H&E stain · 8 image tiles from a single gastric biopsy slide · each 300 × 300 pixels.
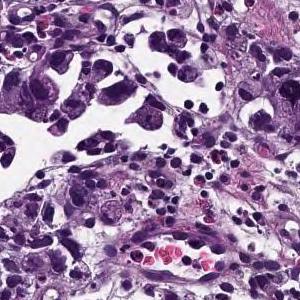
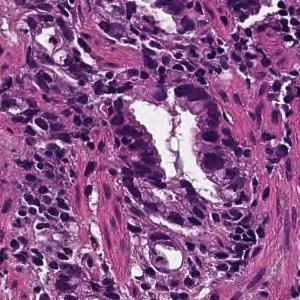
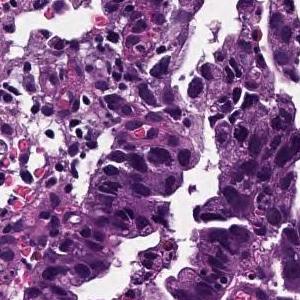
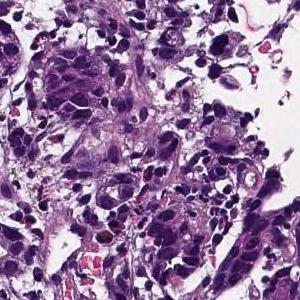
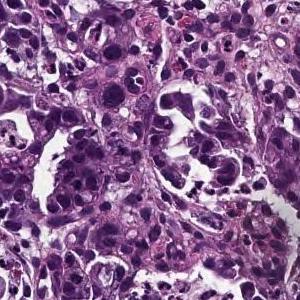
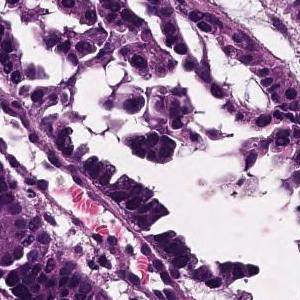
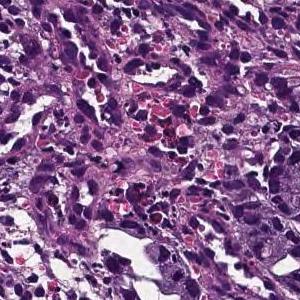
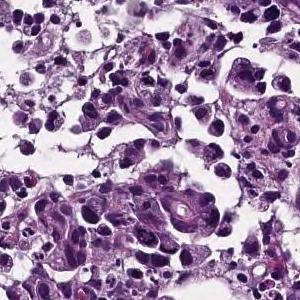
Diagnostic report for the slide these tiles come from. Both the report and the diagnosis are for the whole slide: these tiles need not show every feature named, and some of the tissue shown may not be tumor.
Medium to small, irregular glandular ducts are formed in the superficial epithelium, and in some cases, the glandular ducts are fused to show solid alveolar lesions and infiltrating tumor tissue is observed. Moderately to poorly differentiated adenocarcinoma.
